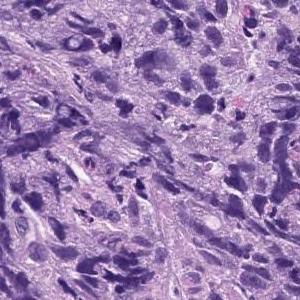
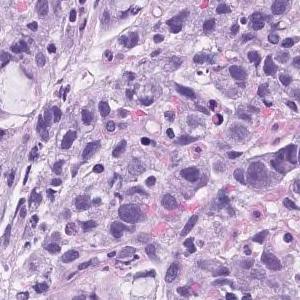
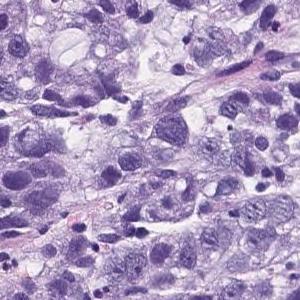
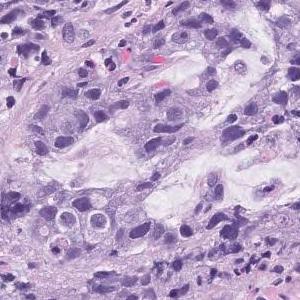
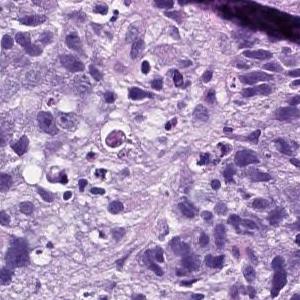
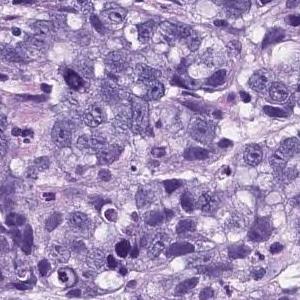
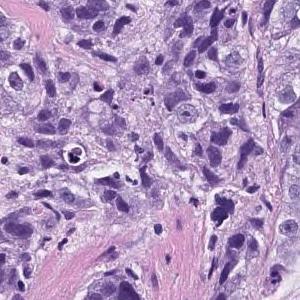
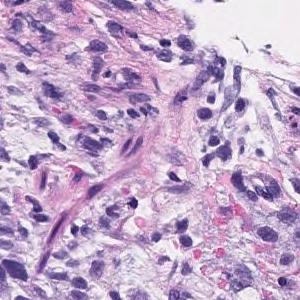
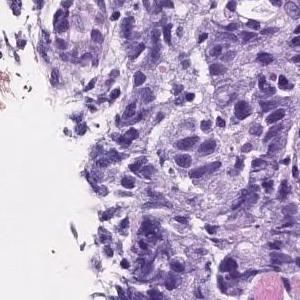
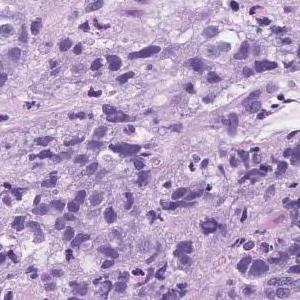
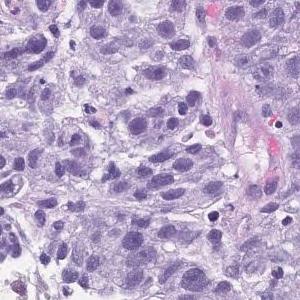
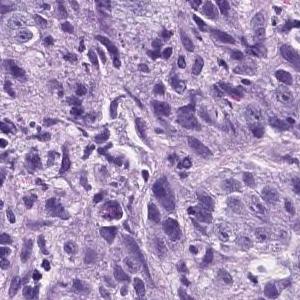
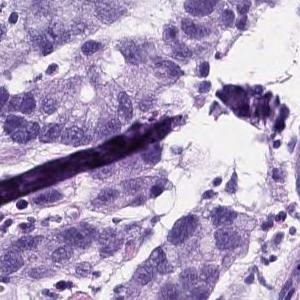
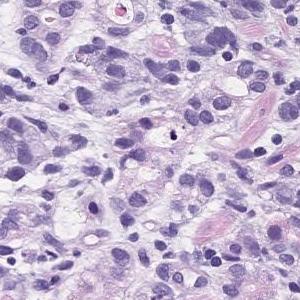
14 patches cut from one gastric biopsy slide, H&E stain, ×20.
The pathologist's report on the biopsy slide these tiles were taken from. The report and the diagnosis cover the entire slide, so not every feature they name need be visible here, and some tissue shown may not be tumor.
Atypical l cells with atypical nuclei forming solid vesicles or small irregular atypical ducts that proliferate in a complex manner. poorly differentiated adenocarcinoma, solid type, moderately differentiated tubular adenocarcinoma
"Solid type" is a category of the Japanese Classification of Gastric Carcinoma; in the WHO 2019 classification it is tubular adenocarcinoma, poorly differentiated.
